Scanned at ×20 · hematoxylin and eosin stain · 4 image tiles from a single gastric biopsy slide · 300×300 px each.
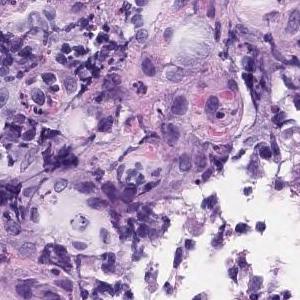
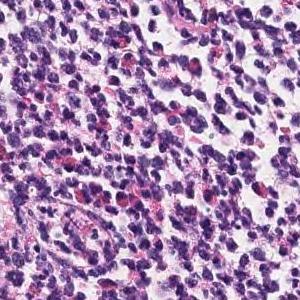
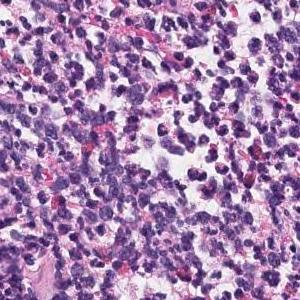
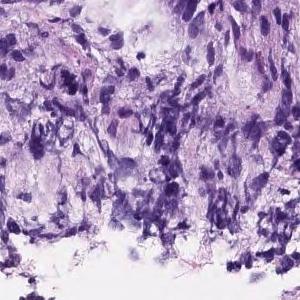
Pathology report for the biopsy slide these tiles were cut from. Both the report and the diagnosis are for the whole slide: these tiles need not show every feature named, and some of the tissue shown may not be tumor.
The superficial epithelium shows a large sheet-like shape, and some tumor tissue infiltrates with small irregular ducts. Poorly differentiated adenocarcinoma, solid-type
Subtype: Poorly differentiated adenocarcinoma, solid type. This name comes from the Japanese Classification of Gastric Carcinoma; the WHO 2019 classification calls it tubular adenocarcinoma, poorly differentiated.
